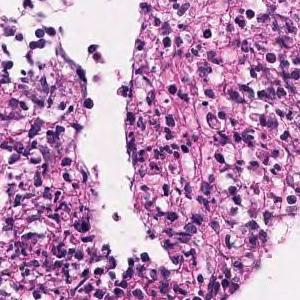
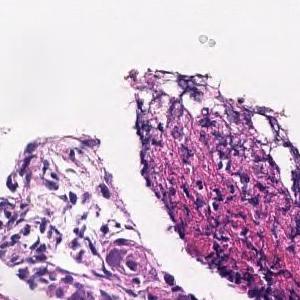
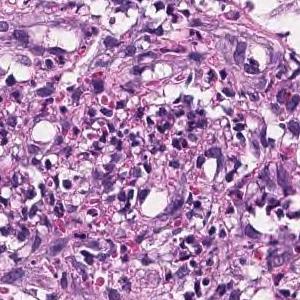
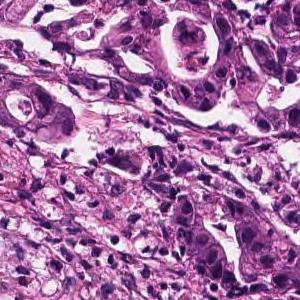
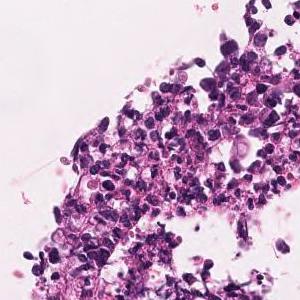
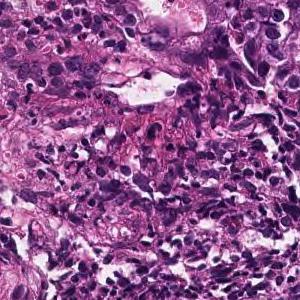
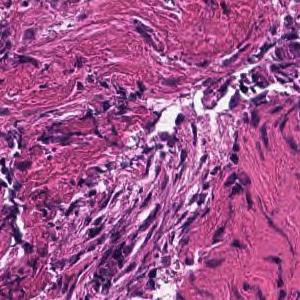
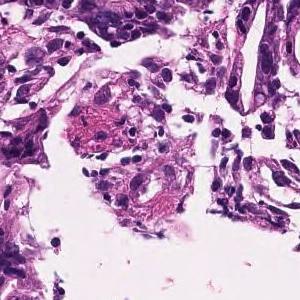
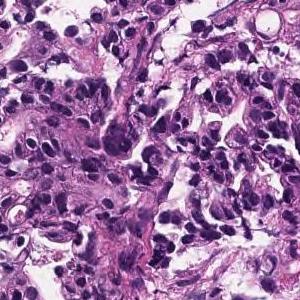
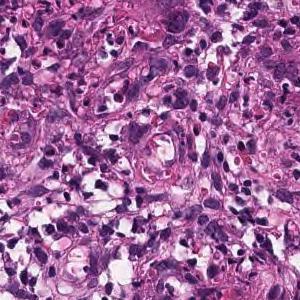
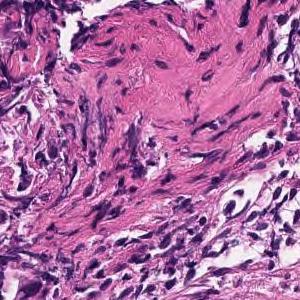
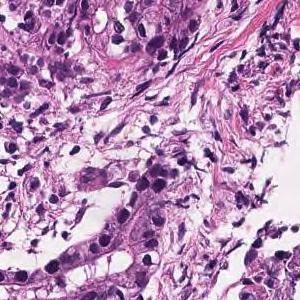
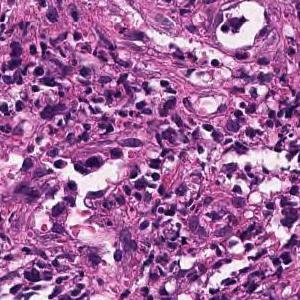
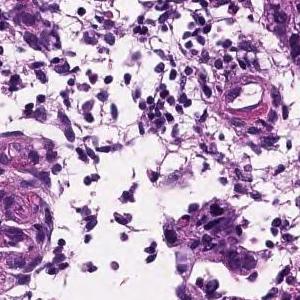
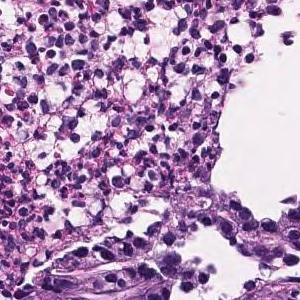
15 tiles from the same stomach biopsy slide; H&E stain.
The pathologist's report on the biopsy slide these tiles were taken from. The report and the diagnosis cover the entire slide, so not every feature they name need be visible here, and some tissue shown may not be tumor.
In the superficial epithelium, medium to small, irregular gland ducts are formed, and in some cases, the gland ducts are fused to show solid alveolar lesions and infiltrating tumor tissue is observed. Moderately to poorly differentiated adenocarcinoma.
